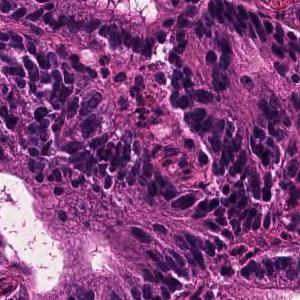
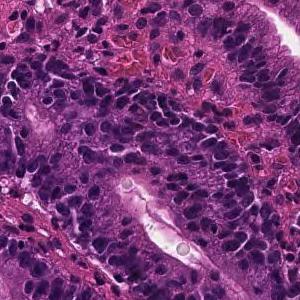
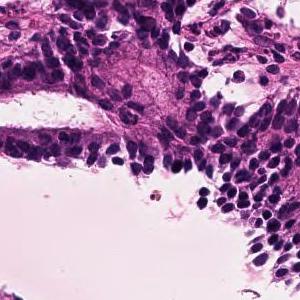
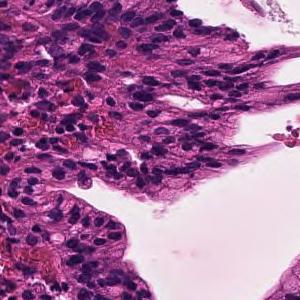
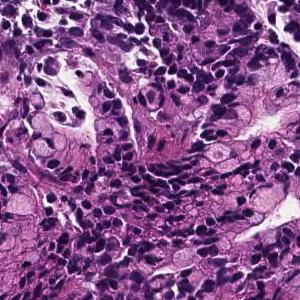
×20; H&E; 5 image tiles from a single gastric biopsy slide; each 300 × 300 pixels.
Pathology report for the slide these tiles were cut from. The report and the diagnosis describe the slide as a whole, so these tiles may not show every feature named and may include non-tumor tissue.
In the superficial epithelium, tumor tissue that invades by forming medium-sized to small, irregular ducts is observed. moderately differentiated tubular adenocarcinoma.
